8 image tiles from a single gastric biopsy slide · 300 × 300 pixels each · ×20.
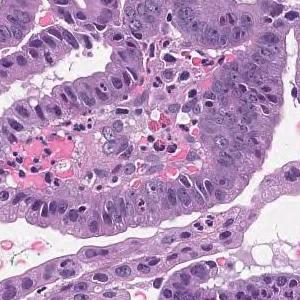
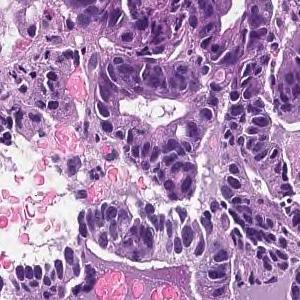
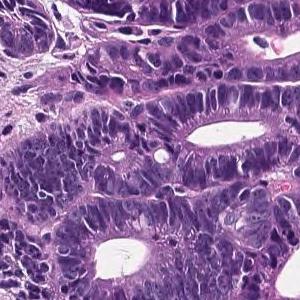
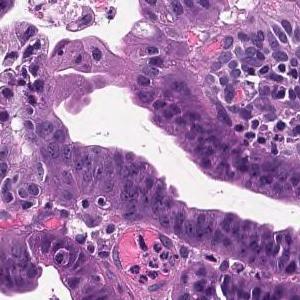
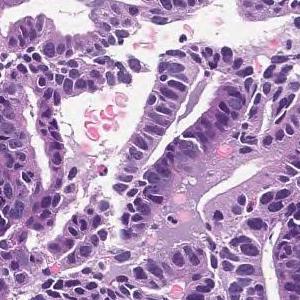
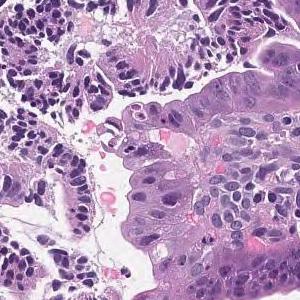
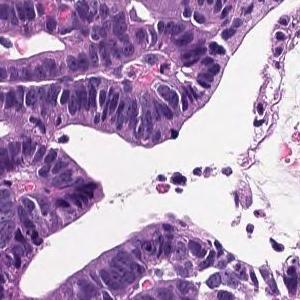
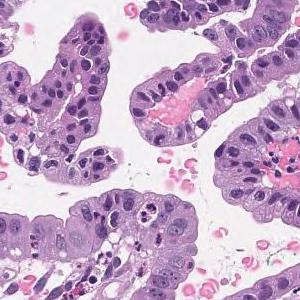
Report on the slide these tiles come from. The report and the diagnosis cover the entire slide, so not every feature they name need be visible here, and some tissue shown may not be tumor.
Tumor cells are large, highly columnar, large club-shaped nuclei, and are associated with chromatin aggregation. Papillary adenocarcinoma.
